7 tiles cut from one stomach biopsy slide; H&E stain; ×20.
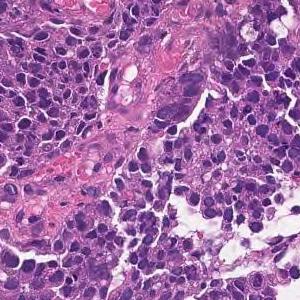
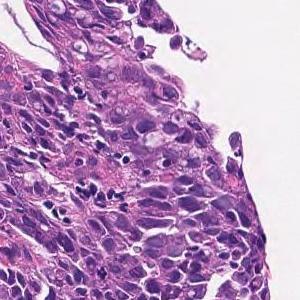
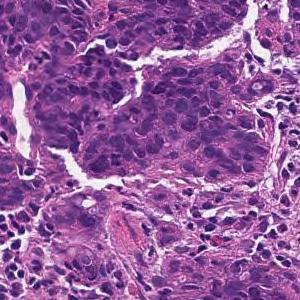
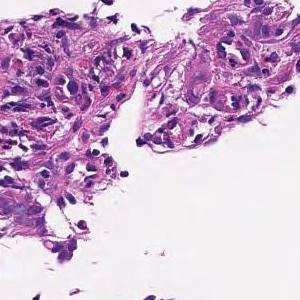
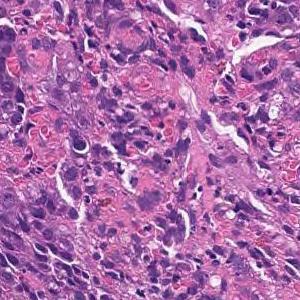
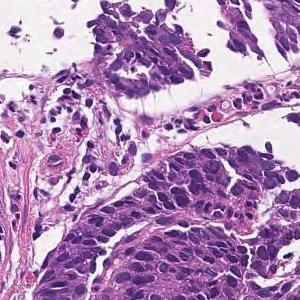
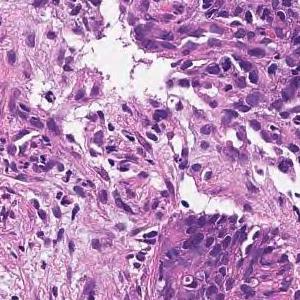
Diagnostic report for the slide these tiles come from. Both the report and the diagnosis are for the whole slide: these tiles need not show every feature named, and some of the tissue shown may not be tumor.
Tumor tissue consisting of cord-like or small, irregular glandular ducts fused and infiltrated is observed in the superficial epithelium. Poorly differentiated adenocarcinoma, non-solid type
"Non-solid type" is a category of the Japanese Classification of Gastric Carcinoma.
